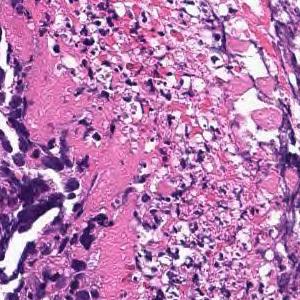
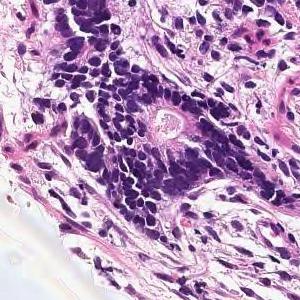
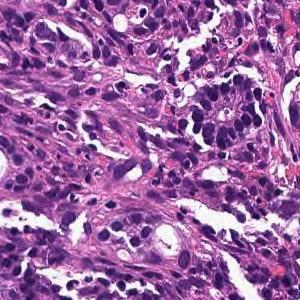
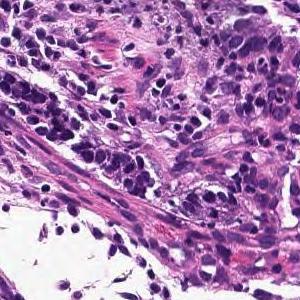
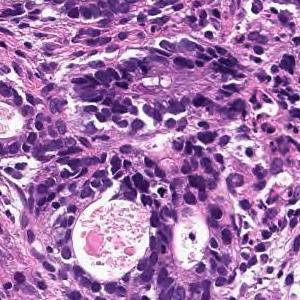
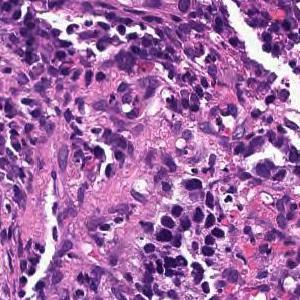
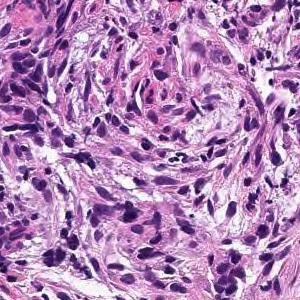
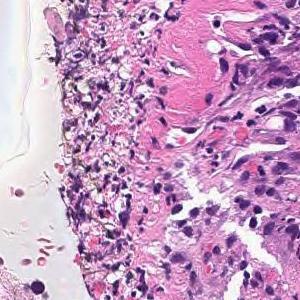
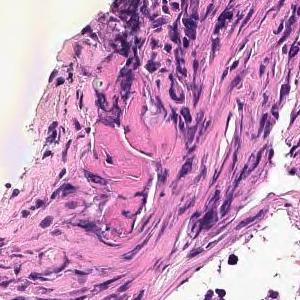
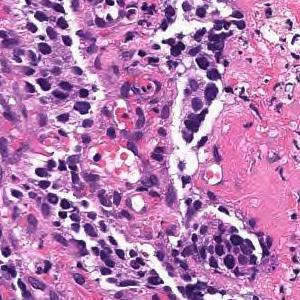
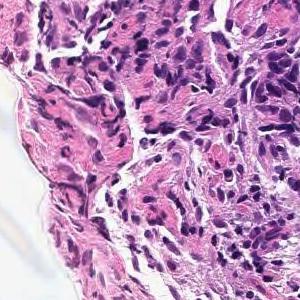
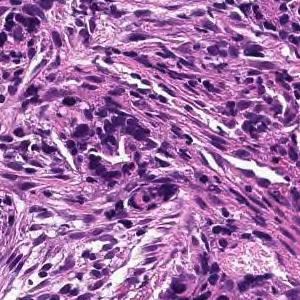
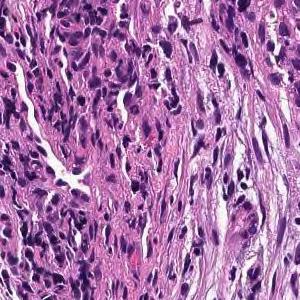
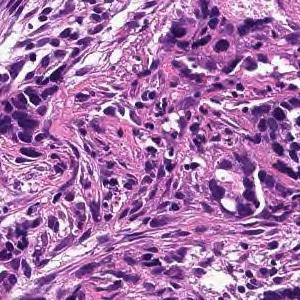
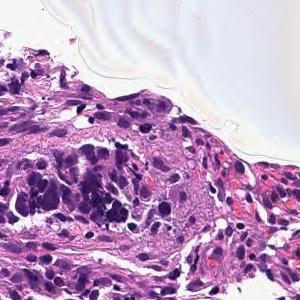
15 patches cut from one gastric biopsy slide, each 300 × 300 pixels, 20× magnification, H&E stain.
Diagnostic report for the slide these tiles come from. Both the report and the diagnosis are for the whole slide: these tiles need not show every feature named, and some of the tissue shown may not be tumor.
Tumor tissue consisting of medium-sized, cord-like or irregular glandular infiltration is observed in the superficial epithelium. Poorly differentiated adenocarcinoma, non-solid type or moderately differentiated tubular adenocarcinoma
Subtype: Moderately to poorly differentiated adenocarcinoma.
The non-solid type named here is a Japanese Classification of Gastric Carcinoma category.
